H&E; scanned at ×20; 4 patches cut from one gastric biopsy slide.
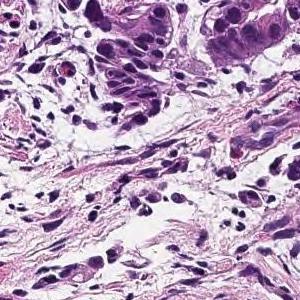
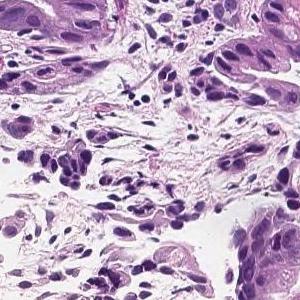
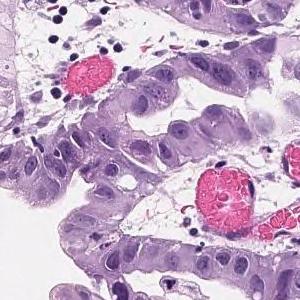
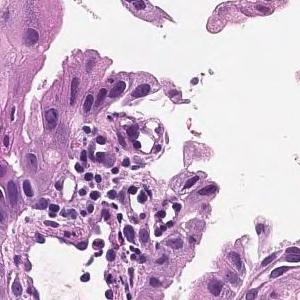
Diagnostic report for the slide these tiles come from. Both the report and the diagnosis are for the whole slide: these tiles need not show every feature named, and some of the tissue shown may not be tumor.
On the superficial epithelium, tumor tissue that infiltrates by forming medium-sized papillary or small irregular ducts is observed. Papillary adenocarcinoma
